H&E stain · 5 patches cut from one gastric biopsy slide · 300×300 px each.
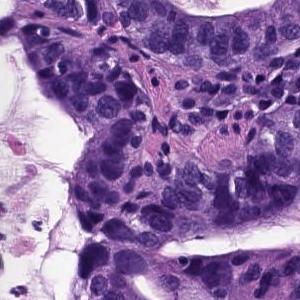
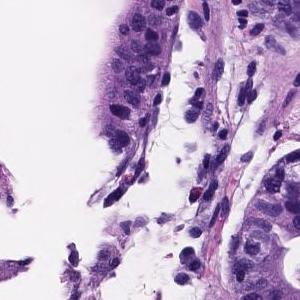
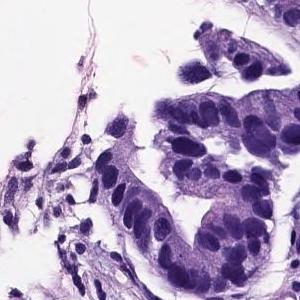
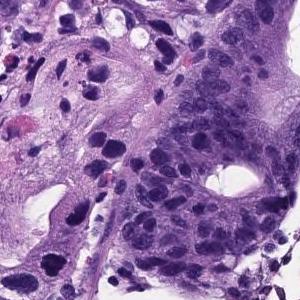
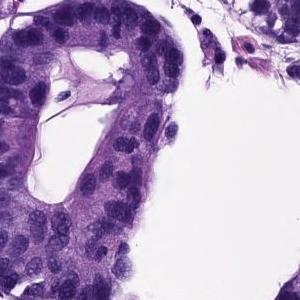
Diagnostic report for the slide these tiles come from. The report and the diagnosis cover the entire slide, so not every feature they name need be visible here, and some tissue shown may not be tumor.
There are atypical l cells with atypical nuclei forming irregular glandular ducts and growing in a complex manner. Well differentiated tubular adenocarcinoma
